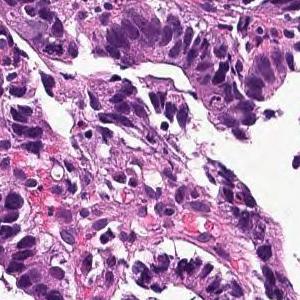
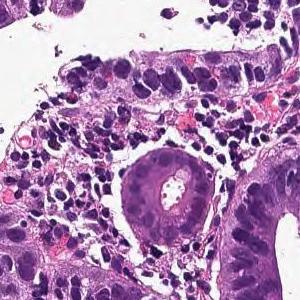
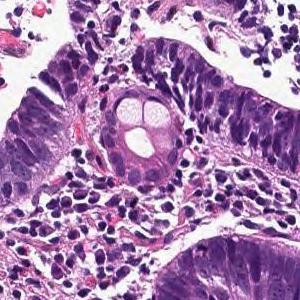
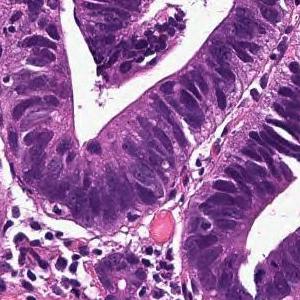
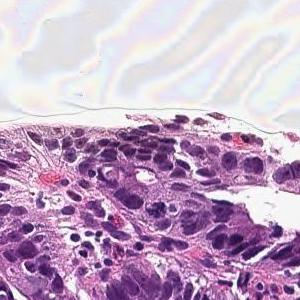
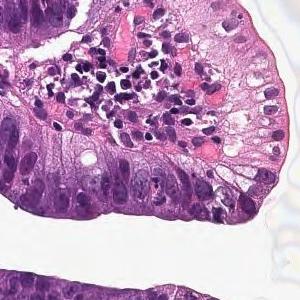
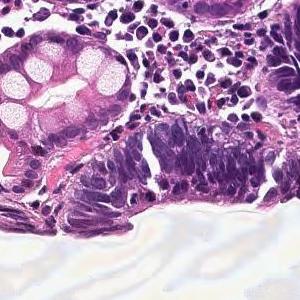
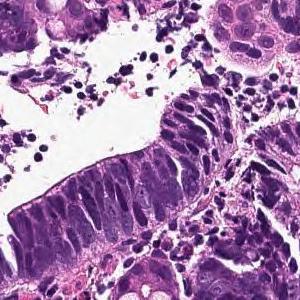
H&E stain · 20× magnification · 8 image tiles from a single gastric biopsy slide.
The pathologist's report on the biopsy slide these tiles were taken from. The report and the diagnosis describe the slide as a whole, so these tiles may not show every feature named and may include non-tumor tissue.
Tumor cells are large, highly columnar, large club-shaped nuclei, and are associated with chromatin aggregation. Papillary adenocarcinoma.
